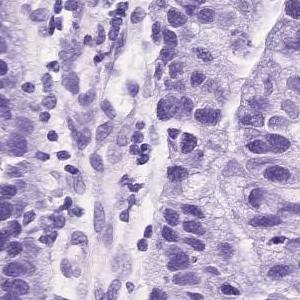
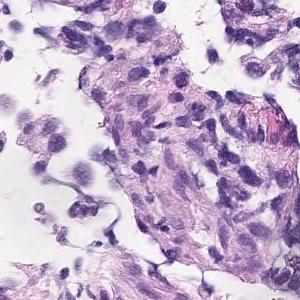
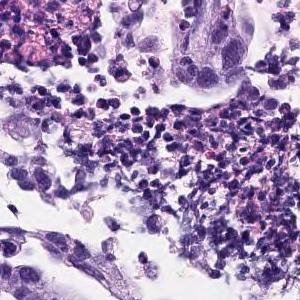
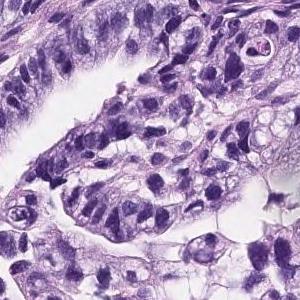
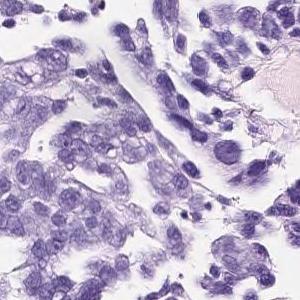
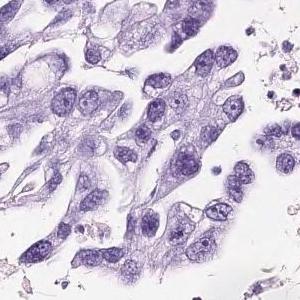
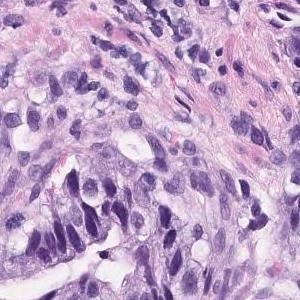
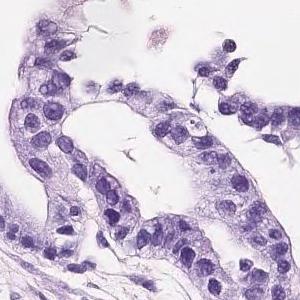
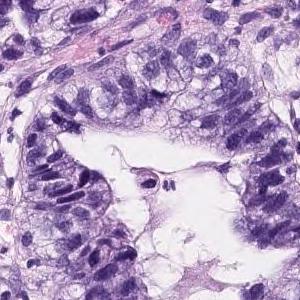
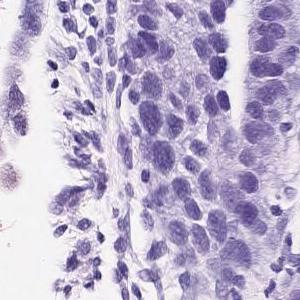
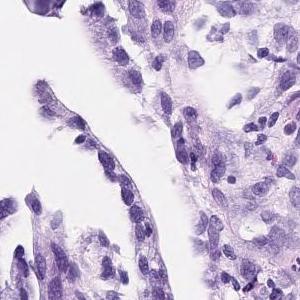
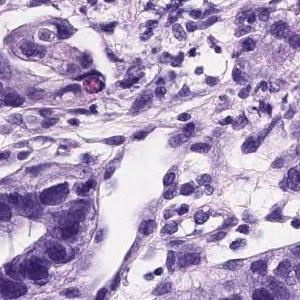
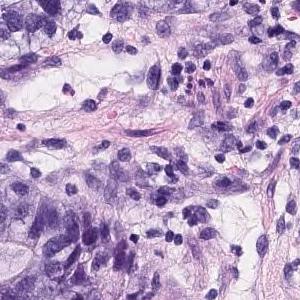
20× magnification; 13 tiles cut from one stomach biopsy slide.
Report on the slide these tiles come from. Both the report and the diagnosis are for the whole slide: these tiles need not show every feature named, and some of the tissue shown may not be tumor.
On the superficial epithelium, tumor tissue consisting of medium to small irregular tubules partially fused and proliferated is observed. moderately differentiated tubular adenocarcinoma
